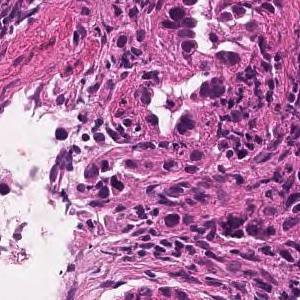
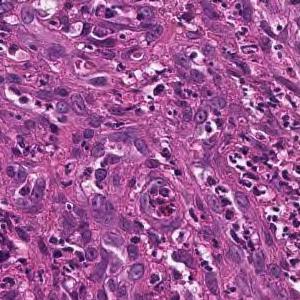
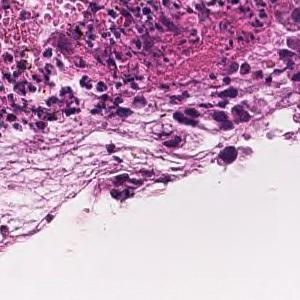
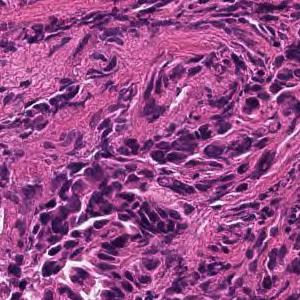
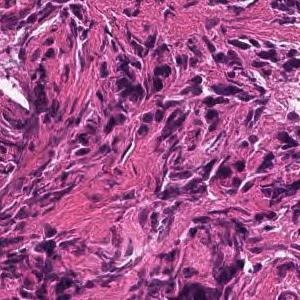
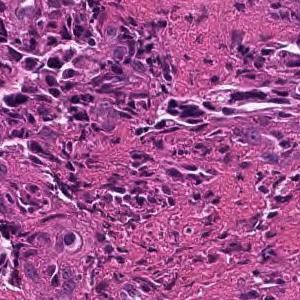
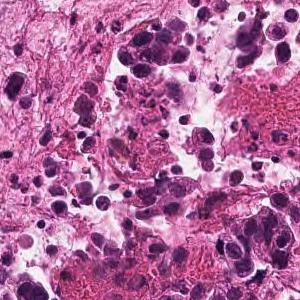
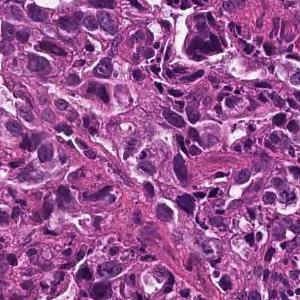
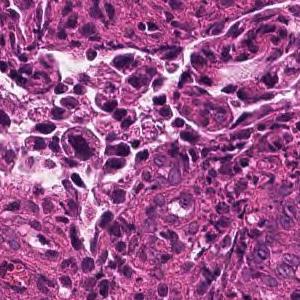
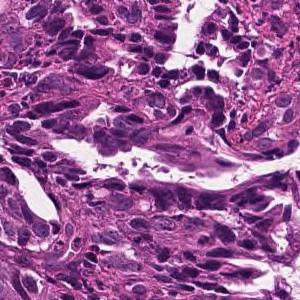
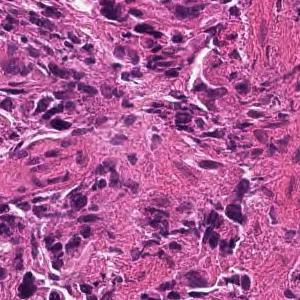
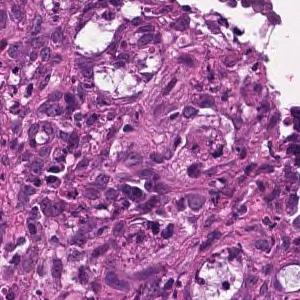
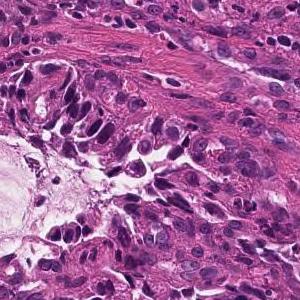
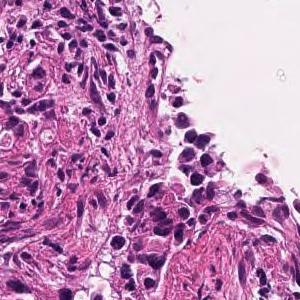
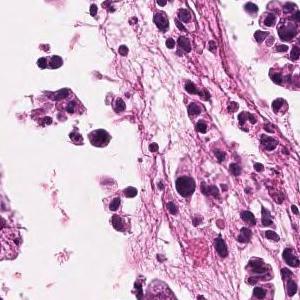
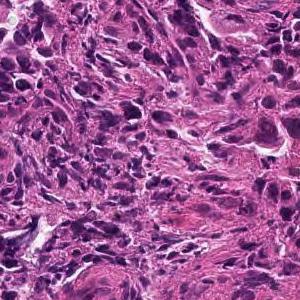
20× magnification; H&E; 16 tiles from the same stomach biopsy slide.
Pathology report for the slide these tiles were cut from. What the report and the diagnosis say applies to the whole slide; these tiles may miss some of the features named and may include tissue that is not tumor.
In the superficial epithelium, tumor tissue that invades by forming medium-sized to small, irregular ducts is observed. moderately differentiated tubular adenocarcinoma.
